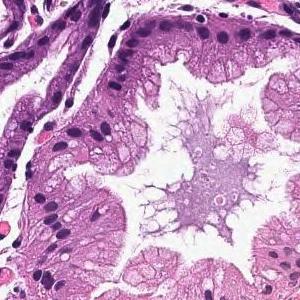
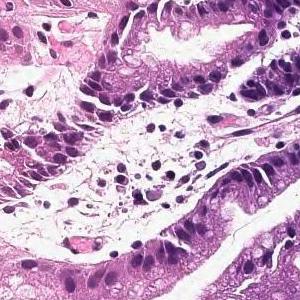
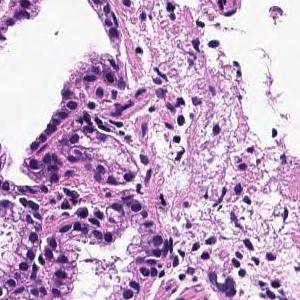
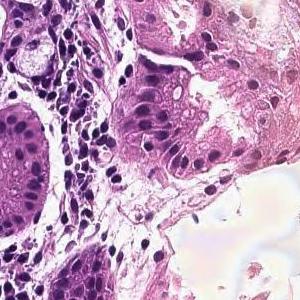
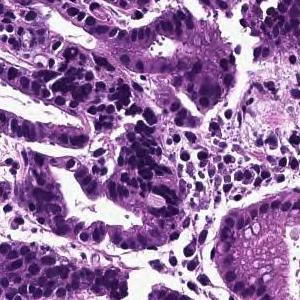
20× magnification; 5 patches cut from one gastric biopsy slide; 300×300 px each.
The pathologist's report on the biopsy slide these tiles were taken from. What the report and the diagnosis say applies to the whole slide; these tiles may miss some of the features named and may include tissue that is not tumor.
In the superficial epithelium, tumor tissue that invades by forming medium-sized to small, irregular ducts is observed. moderately differentiated tubular adenocarcinoma.
